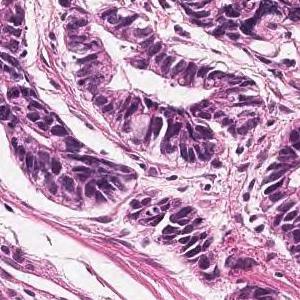
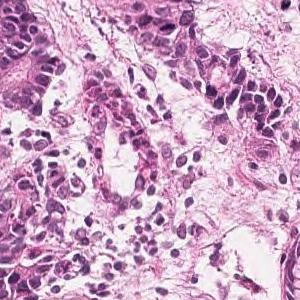
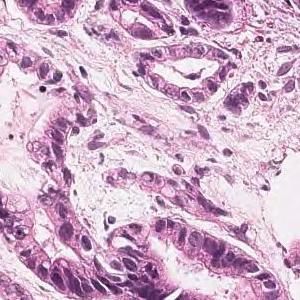
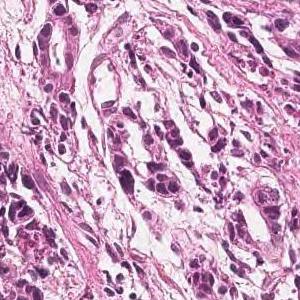
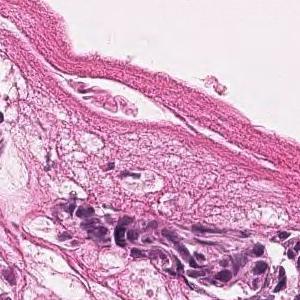
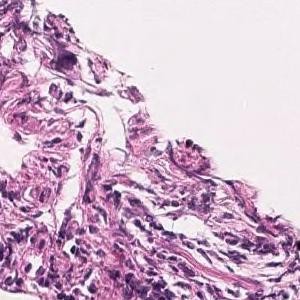
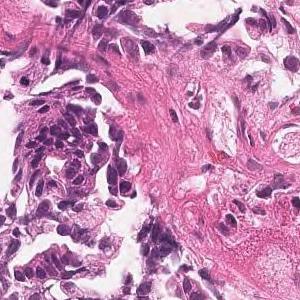
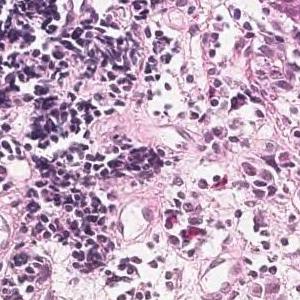
8 tiles from the same stomach biopsy slide · ×20.
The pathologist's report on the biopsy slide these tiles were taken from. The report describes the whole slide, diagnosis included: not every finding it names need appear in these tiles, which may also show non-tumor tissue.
On the superficial epithelium, tumor tissue consisting of large, irregular glandular ducts partially fused and infiltrated is observed. Well to moderately differentiated tubular adenocarcinoma (well differentiated tubular adenocarcinoma, moderately differentiated tubular adenocarcinoma)
Subtype: Well to moderately differentiated tubular adenocarcinoma.
